Hematoxylin and eosin stain; scanned at ×20; 15 tiles from the same stomach biopsy slide; each 300 × 300 pixels.
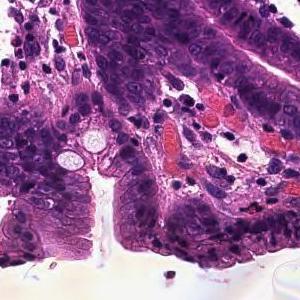
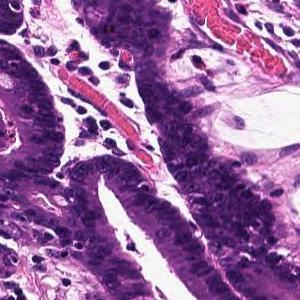
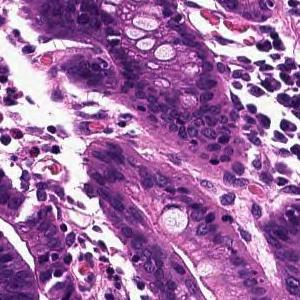
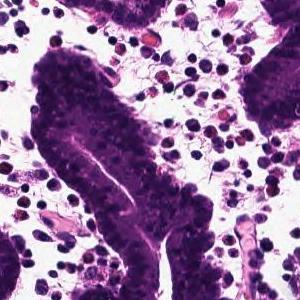
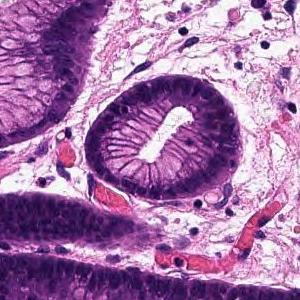
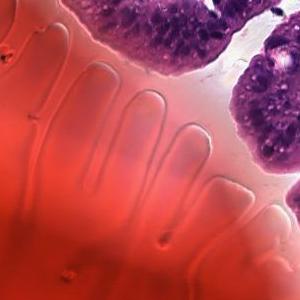
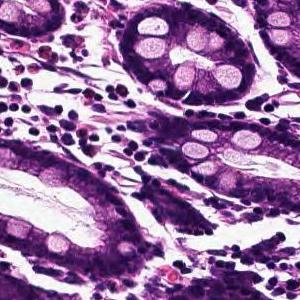
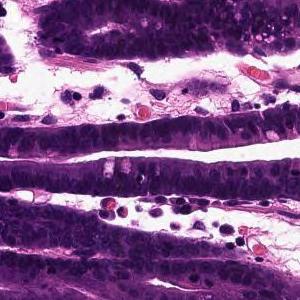
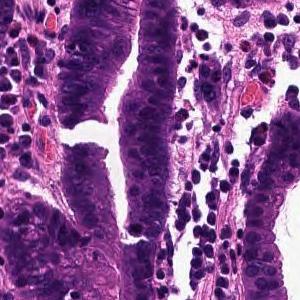
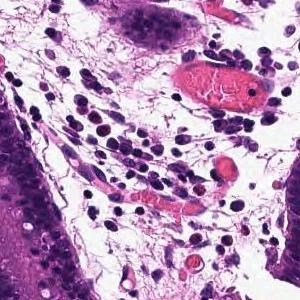
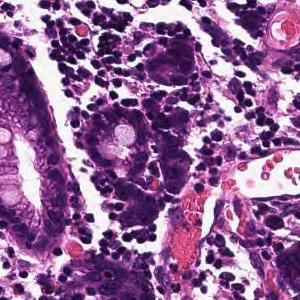
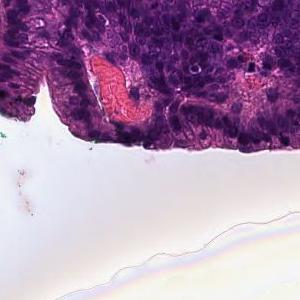
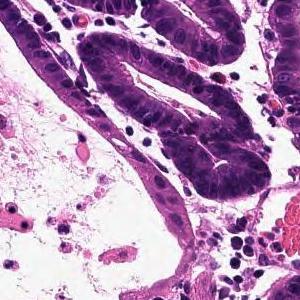
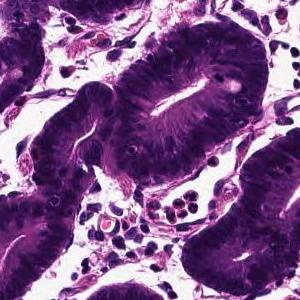
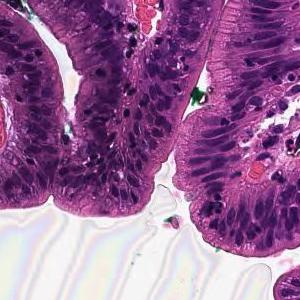
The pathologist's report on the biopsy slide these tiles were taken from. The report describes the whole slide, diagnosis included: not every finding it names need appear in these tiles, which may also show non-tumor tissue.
Tumor tissue that infiltrates by forming large papillary or large irregular glandular ducts is observed confined to the mucosa. Papillary adenocarcinoma
